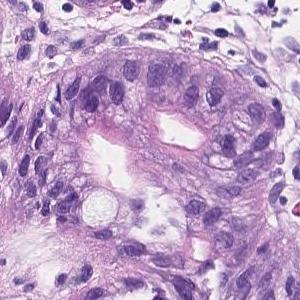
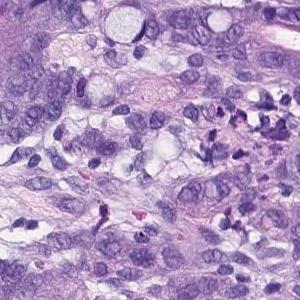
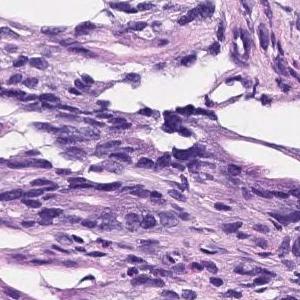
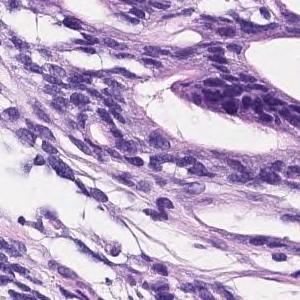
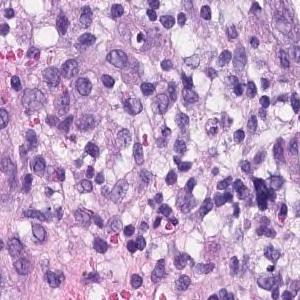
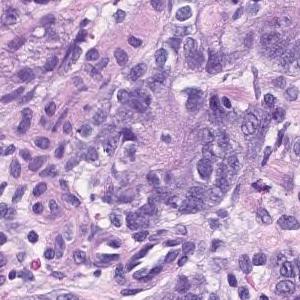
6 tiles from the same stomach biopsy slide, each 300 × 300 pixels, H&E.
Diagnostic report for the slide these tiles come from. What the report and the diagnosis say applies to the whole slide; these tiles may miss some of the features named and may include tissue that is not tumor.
Irregularly fused atypical ducts proliferating while replacing existing ducts was observed. moderately differentiated tubular adenocarcinoma
